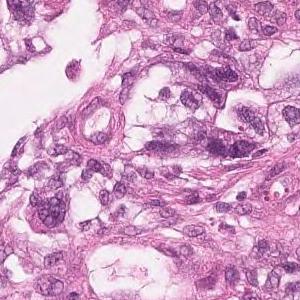
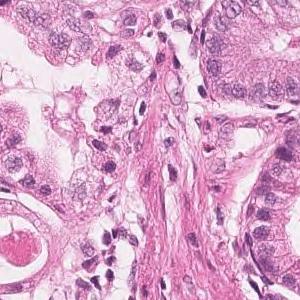
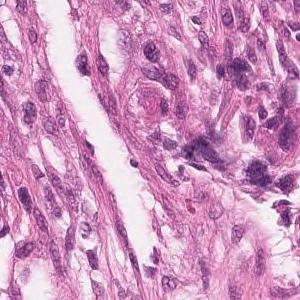
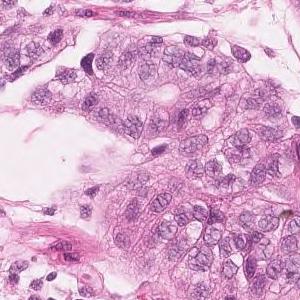
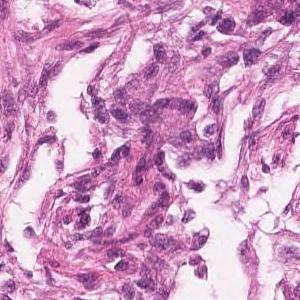
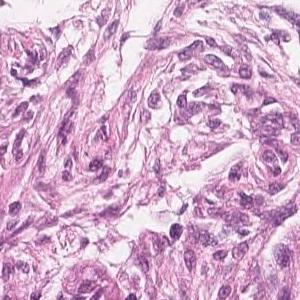
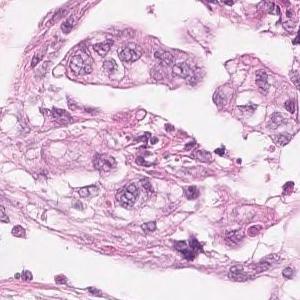
×20; H&E; 7 tiles from the same stomach biopsy slide.
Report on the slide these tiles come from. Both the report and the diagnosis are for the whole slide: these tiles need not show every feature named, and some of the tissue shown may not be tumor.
Highly columnar epithelium with disordered nuclear localization proliferates showing fusion ductal construction. moderately differentiated tubular adenocarcinoma
